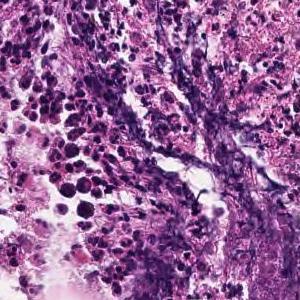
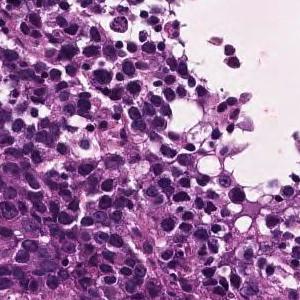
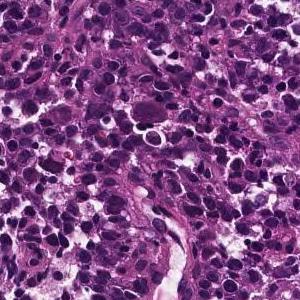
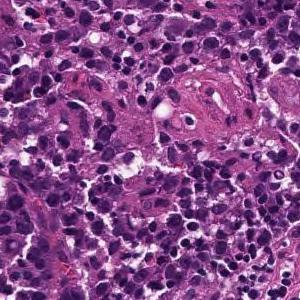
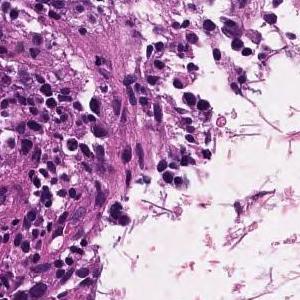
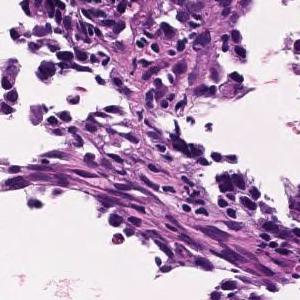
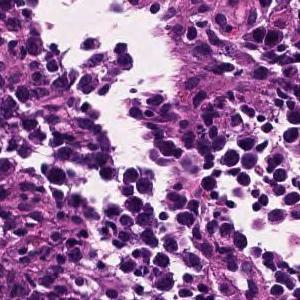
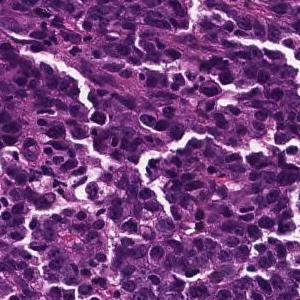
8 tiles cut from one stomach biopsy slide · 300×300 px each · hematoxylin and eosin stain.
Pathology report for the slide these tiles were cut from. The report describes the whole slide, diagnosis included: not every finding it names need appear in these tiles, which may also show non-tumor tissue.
The superficial epithelium shows a large sheet-like shape, and some tumor tissue infiltrates with small irregular ducts. Poorly differentiated adenocarcinoma, solid-type
Subtype: Poorly differentiated adenocarcinoma, solid type, a category of the Japanese Classification of Gastric Carcinoma; in the WHO 2019 classification it is tubular adenocarcinoma, poorly differentiated.
